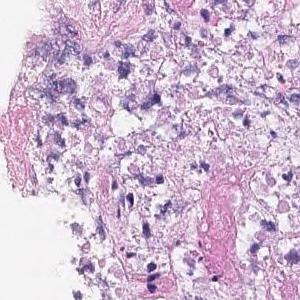
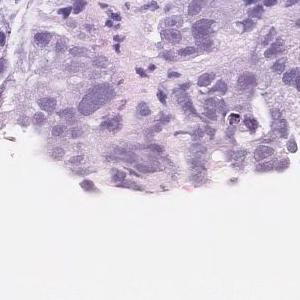
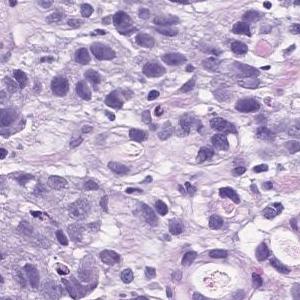
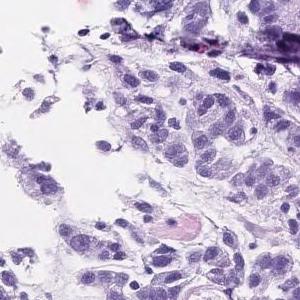
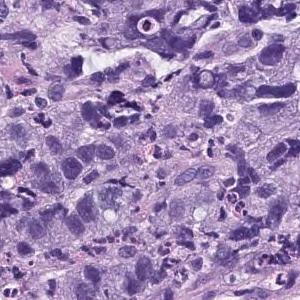
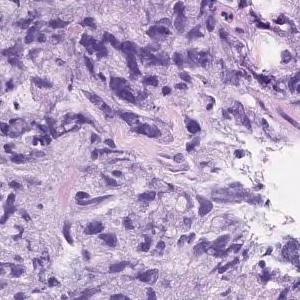
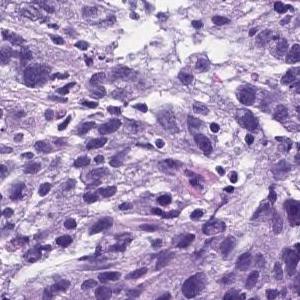
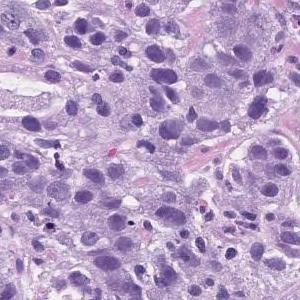
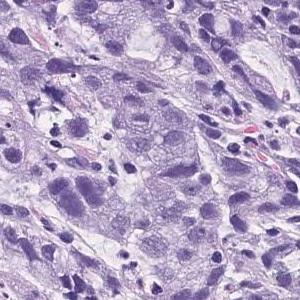
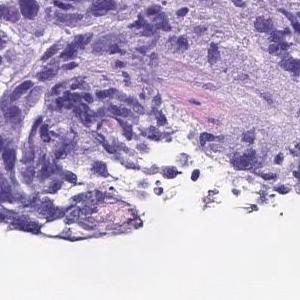
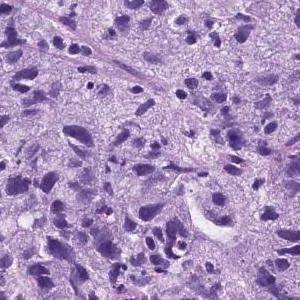
11 tiles cut from one stomach biopsy slide · hematoxylin and eosin stain · ×20.
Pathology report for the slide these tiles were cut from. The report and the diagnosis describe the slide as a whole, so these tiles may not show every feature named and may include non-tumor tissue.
Atypical l cells with atypical nuclei forming solid vesicles or small irregular atypical ducts that proliferate in a complex manner. poorly differentiated adenocarcinoma, solid type, moderately differentiated tubular adenocarcinoma
The term "solid type" comes from the Japanese Classification of Gastric Carcinoma; the WHO 2019 equivalent is tubular adenocarcinoma, poorly differentiated.
